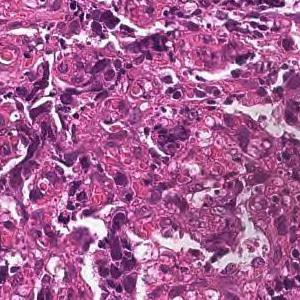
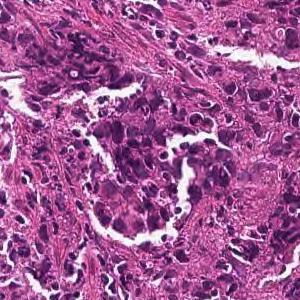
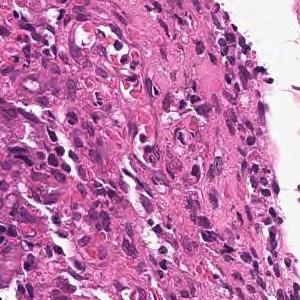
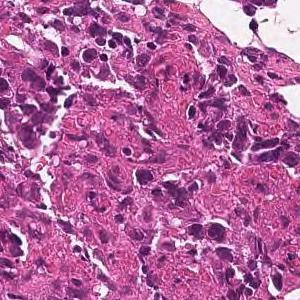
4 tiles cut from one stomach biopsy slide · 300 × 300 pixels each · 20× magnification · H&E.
The pathologist's report on the biopsy slide these tiles were taken from. The report and the diagnosis cover the entire slide, so not every feature they name need be visible here, and some tissue shown may not be tumor.
Tumor tissue consisting of medium-sized, cord-like or irregular glandular infiltration is observed in the superficial epithelium. Poorly differentiated adenocarcinoma, non-solid type or moderately differentiated tubular adenocarcinoma
Histological subtype: Moderately to poorly differentiated adenocarcinoma.
"Non-solid type" is a category of the Japanese Classification of Gastric Carcinoma.
